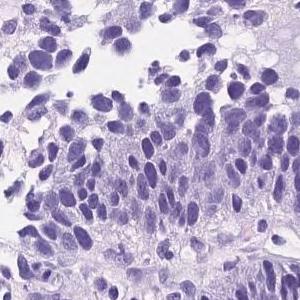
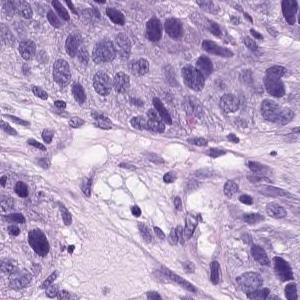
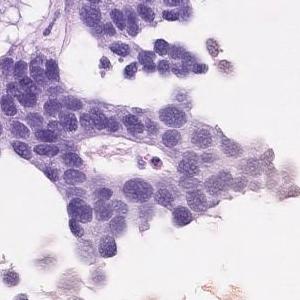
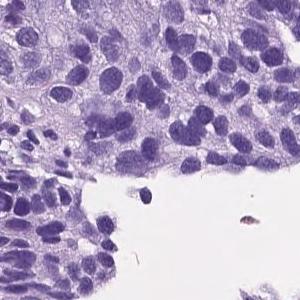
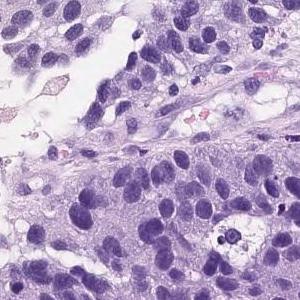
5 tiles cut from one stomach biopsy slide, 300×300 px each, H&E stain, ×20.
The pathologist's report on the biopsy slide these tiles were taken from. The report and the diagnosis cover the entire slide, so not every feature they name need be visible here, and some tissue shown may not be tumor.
Atypical cells with atypical nuclei forming small irregular atypical ducts and growing in a conformative manner. moderately differentiated tubular adenocarcinoma
The dataset labels this slide moderately to poorly differentiated adenocarcinoma.
